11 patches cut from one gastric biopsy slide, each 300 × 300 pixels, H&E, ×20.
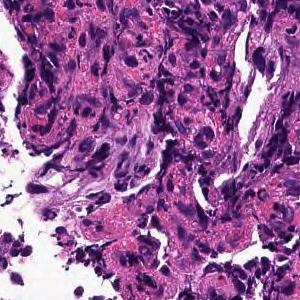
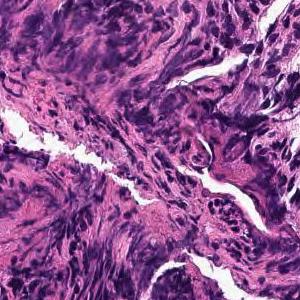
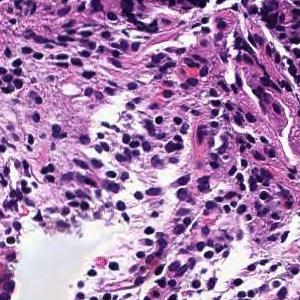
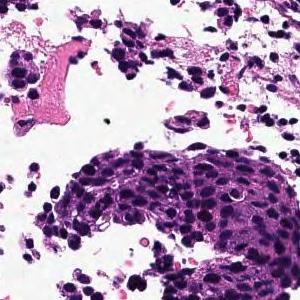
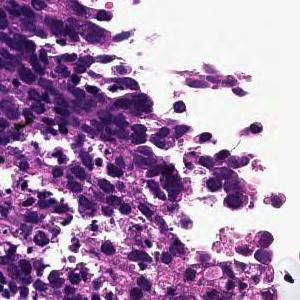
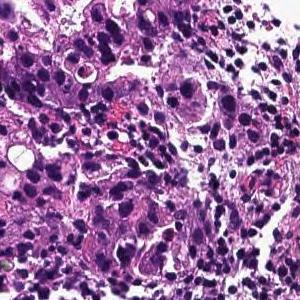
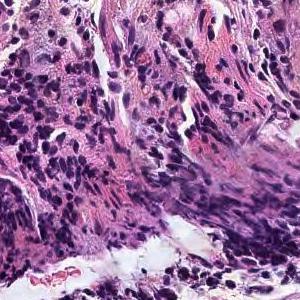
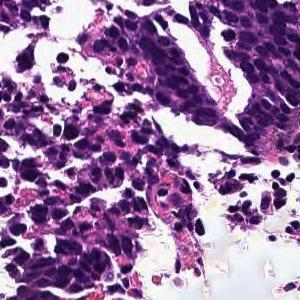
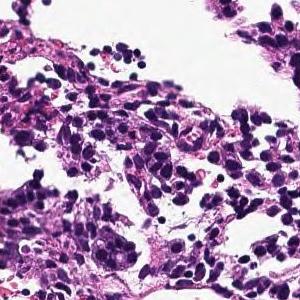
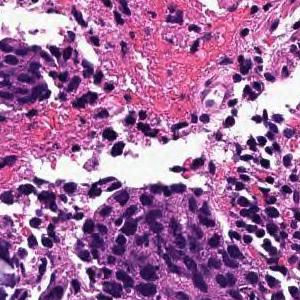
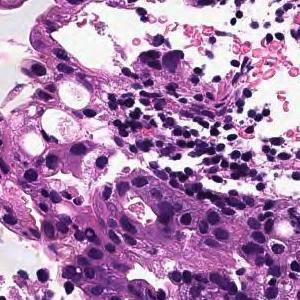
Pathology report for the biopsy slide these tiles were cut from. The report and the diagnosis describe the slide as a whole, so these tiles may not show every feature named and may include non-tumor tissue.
In the superficial epithelium, tumor tissue that invades by forming medium-sized to small, irregular ducts is observed. moderately differentiated tubular adenocarcinoma.
